7 tiles cut from one stomach biopsy slide · 300 × 300 pixels each · H&E.
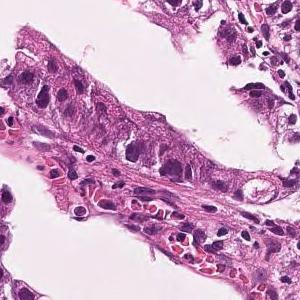
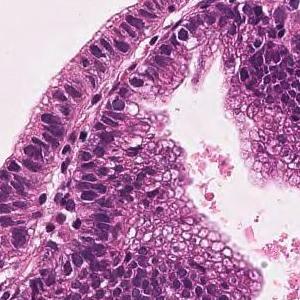
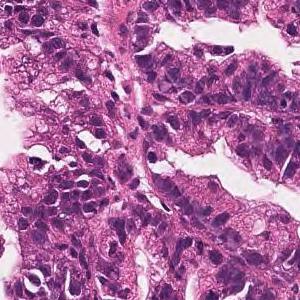
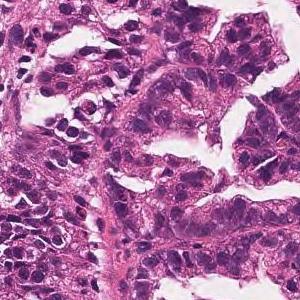
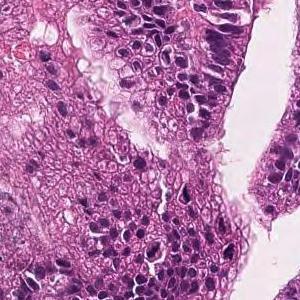
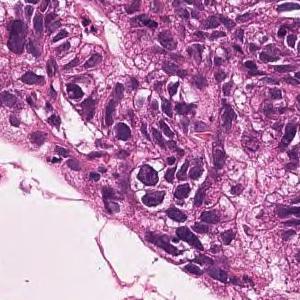
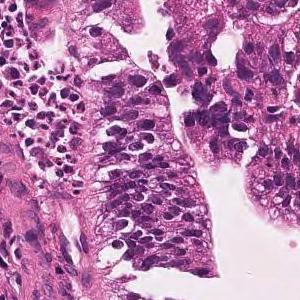
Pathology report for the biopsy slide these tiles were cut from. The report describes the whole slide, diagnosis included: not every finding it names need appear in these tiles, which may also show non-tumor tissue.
On the superficial epithelium, tumor tissue consisting of large, irregular glandular ducts partially fused and infiltrated is observed. Well to moderately differentiated tubular adenocarcinoma (well differentiated tubular adenocarcinoma, moderately differentiated tubular adenocarcinoma)
Tumor subtype: well to moderately differentiated tubular adenocarcinoma.
